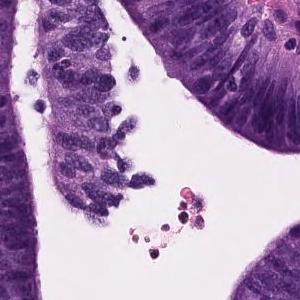
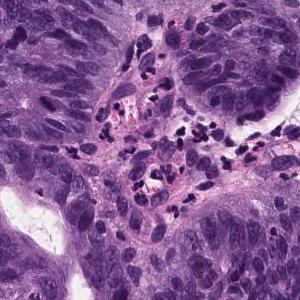
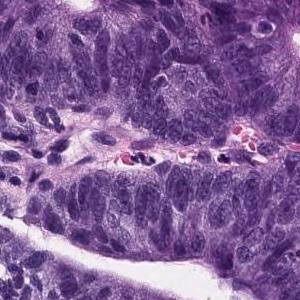
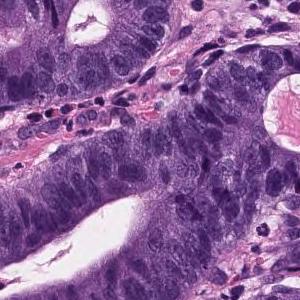
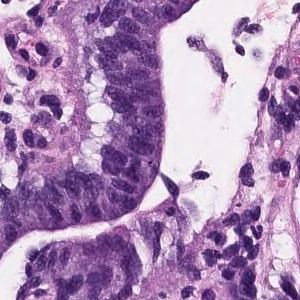
H&E stain · 5 tiles cut from one stomach biopsy slide.
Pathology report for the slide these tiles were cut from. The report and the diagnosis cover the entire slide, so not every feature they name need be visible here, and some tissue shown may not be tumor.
Papillo-tubular growth of atypical tubules with nuclear swelling is observed. Well differentiated tubular adenocarcinoma
